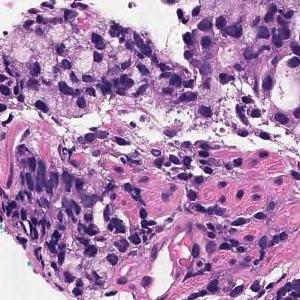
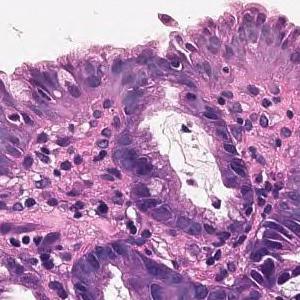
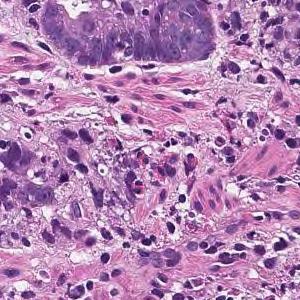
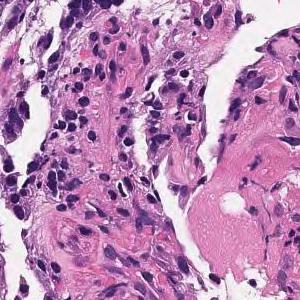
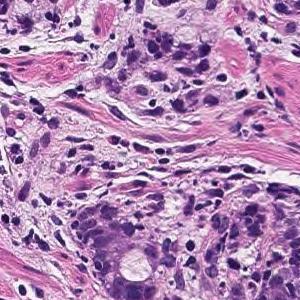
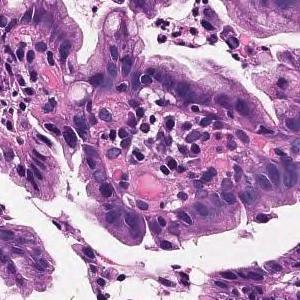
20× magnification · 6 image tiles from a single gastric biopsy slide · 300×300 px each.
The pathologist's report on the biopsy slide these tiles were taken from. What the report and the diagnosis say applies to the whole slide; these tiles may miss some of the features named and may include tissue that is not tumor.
Tumor tissue consisting of cord-like or small, irregular glandular ducts fused and infiltrated is observed in the superficial epithelium. Poorly differentiated adenocarcinoma, non-solid type
"Non-solid type" is a category of the Japanese Classification of Gastric Carcinoma.
